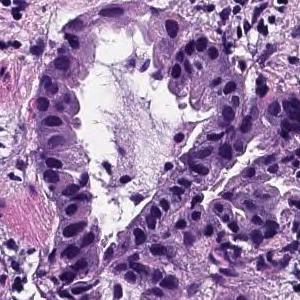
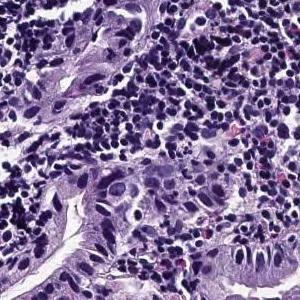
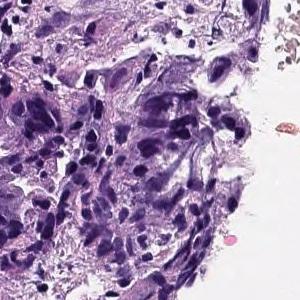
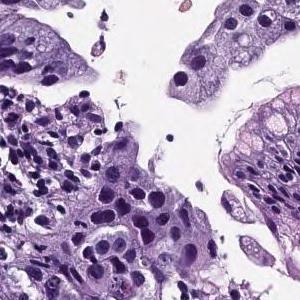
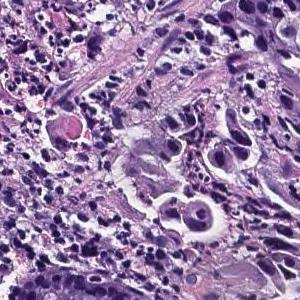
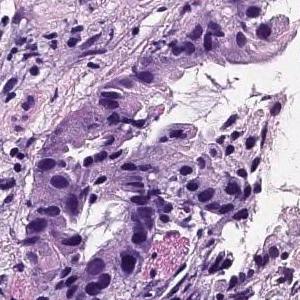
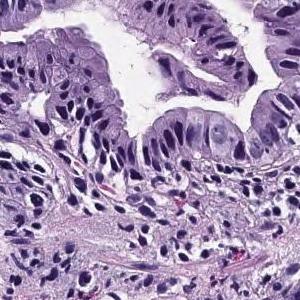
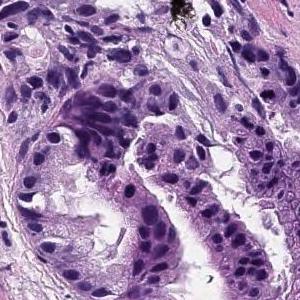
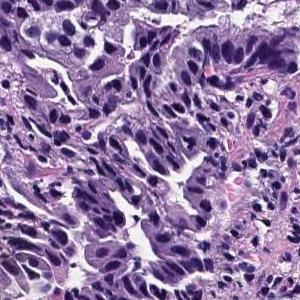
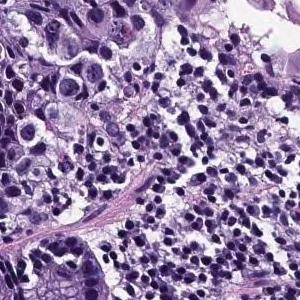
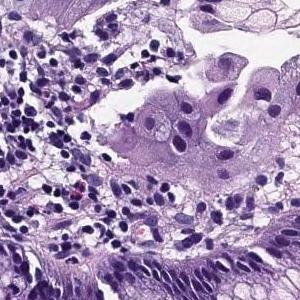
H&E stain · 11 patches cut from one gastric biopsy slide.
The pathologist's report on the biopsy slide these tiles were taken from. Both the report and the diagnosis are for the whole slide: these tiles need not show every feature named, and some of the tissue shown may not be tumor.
Atypical epithelium with anisocytosis forming a large irregular duct and proliferating is observed. moderately differentiated tubular adenocarcinoma
